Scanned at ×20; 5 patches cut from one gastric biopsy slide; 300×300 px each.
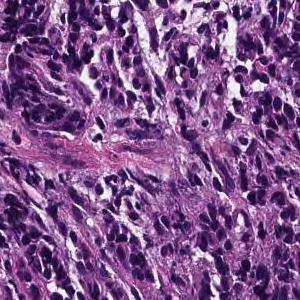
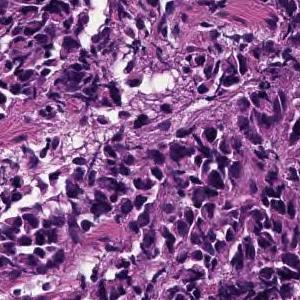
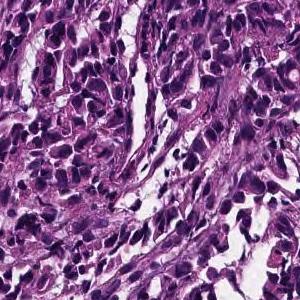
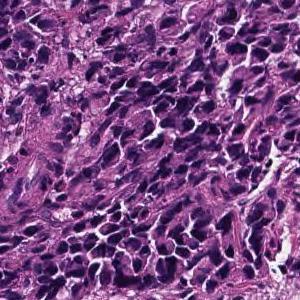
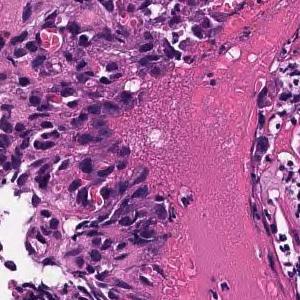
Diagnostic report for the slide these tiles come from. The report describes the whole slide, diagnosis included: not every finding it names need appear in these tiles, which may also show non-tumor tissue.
Poorly differentiated, solid adenocarcinoma (poorly differentiated adenocarcinoma, solid type) with tumor tissue diffusely infiltrated with atypical epithelial cells
Histological subtype: Poorly differentiated adenocarcinoma, solid type, a category of the Japanese Classification of Gastric Carcinoma; in the WHO 2019 classification it is tubular adenocarcinoma, poorly differentiated.
